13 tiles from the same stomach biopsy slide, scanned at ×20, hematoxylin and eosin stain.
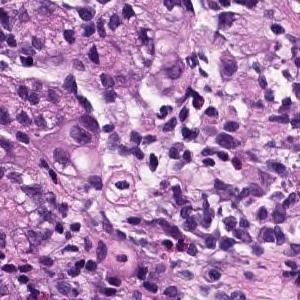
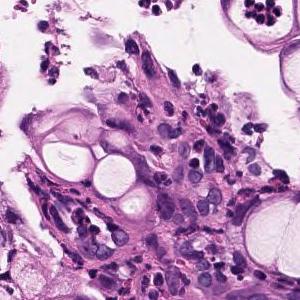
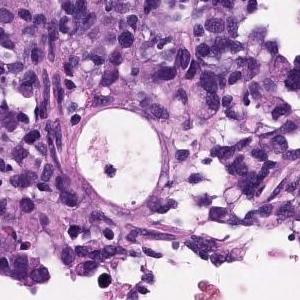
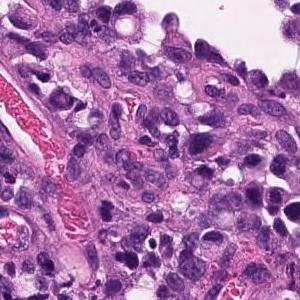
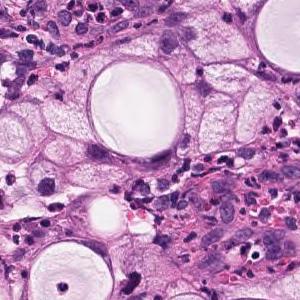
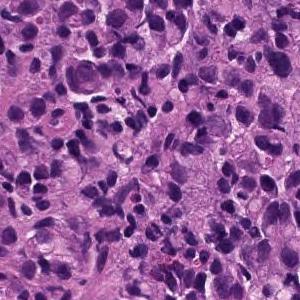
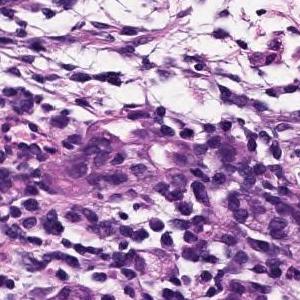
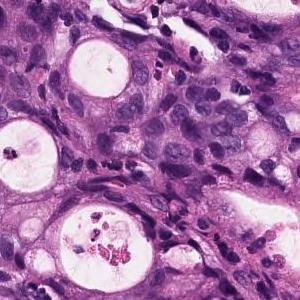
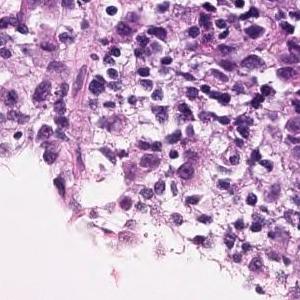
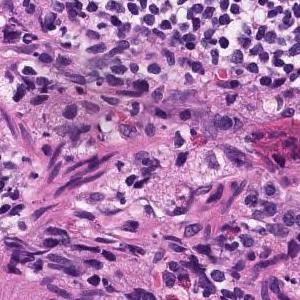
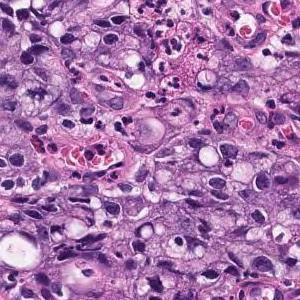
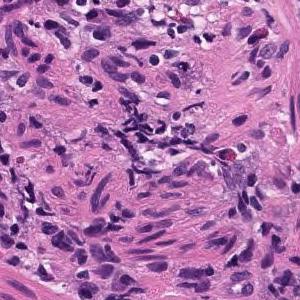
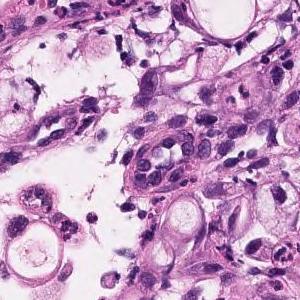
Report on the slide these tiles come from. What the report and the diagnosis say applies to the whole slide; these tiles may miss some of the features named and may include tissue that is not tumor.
Atypical epithelium forms irregularly fused gland ducts and proliferates. Poorly differentiated adenocarcinoma.
Tumor subtype: poorly differentiated adenocarcinoma, non-solid type.
"Non-solid type" is a category of the Japanese Classification of Gastric Carcinoma.
